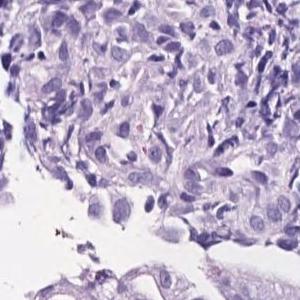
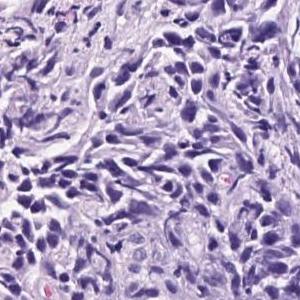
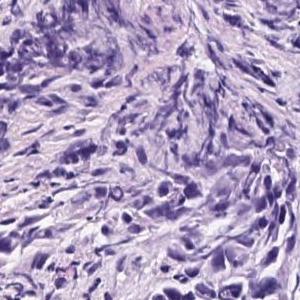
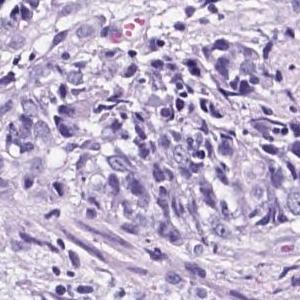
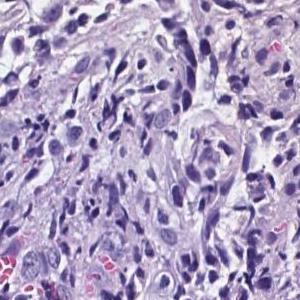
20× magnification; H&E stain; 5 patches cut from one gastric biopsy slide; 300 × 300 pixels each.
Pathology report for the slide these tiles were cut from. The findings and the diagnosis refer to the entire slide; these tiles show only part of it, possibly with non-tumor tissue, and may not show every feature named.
Medium to small atypical epithelial cells that become cord-like or irregularly agglomerated and infiltrate. Poorly differentiated adenocarcinoma
Classified as poorly differentiated adenocarcinoma, solid type, a category of the Japanese Classification of Gastric Carcinoma; in the WHO 2019 classification it is tubular adenocarcinoma, poorly differentiated.
